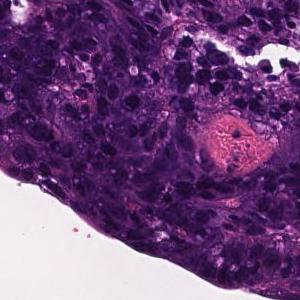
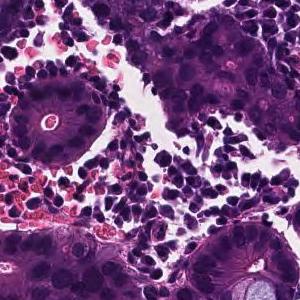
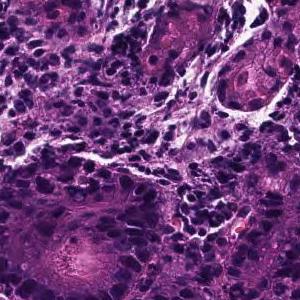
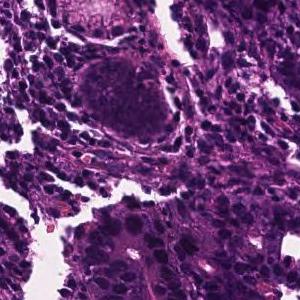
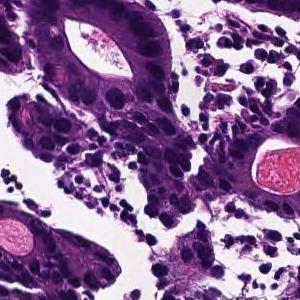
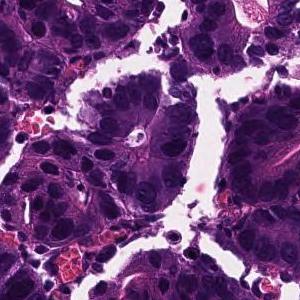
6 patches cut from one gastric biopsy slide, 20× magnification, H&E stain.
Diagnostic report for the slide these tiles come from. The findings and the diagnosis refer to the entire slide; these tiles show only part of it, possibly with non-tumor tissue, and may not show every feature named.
From the superficial epithelium to the muscularis mucosae, tumor tissue infiltrating by forming medium-sized irregular gland ducts is observed. Large tumor cells exhibit large nucleus and hyperchromatism. Well differentiated tubular adenocarcinoma
